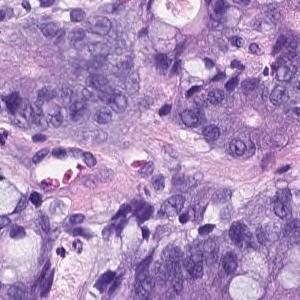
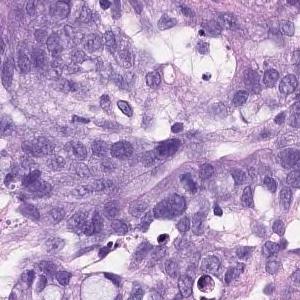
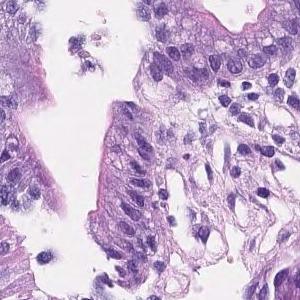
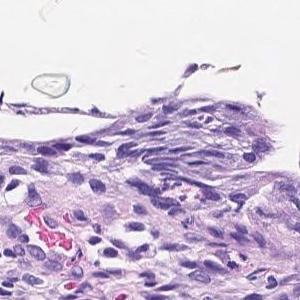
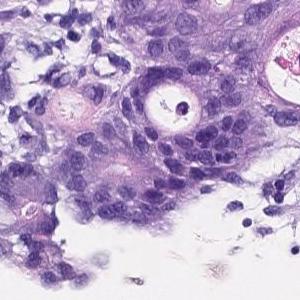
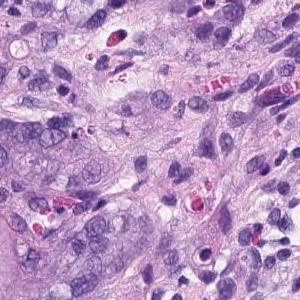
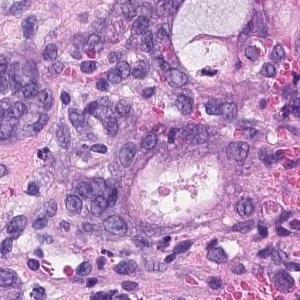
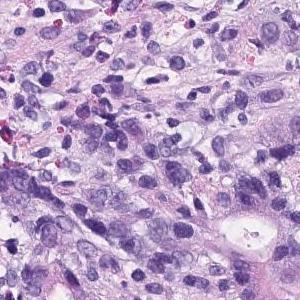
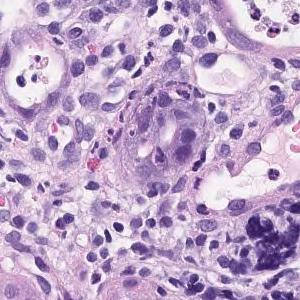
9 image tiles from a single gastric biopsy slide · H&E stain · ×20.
Pathology report for the slide these tiles were cut from. The report and the diagnosis describe the slide as a whole, so these tiles may not show every feature named and may include non-tumor tissue.
Irregularly fused atypical ducts proliferating while replacing existing ducts was observed. moderately differentiated tubular adenocarcinoma
